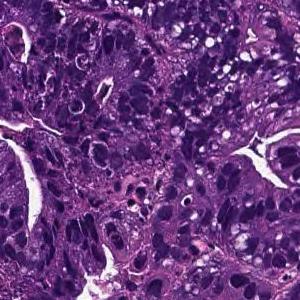
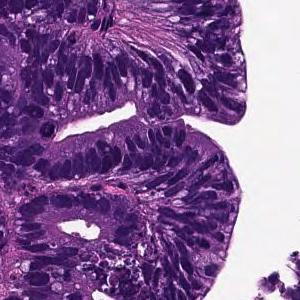
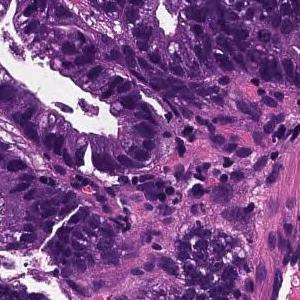
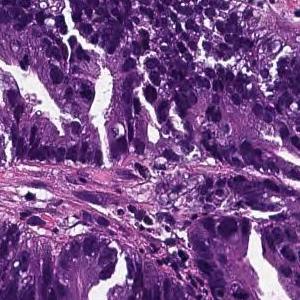
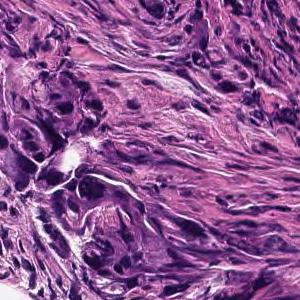
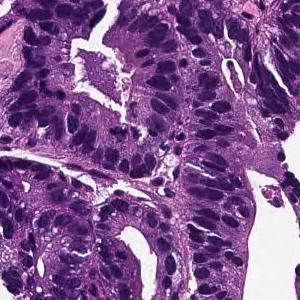
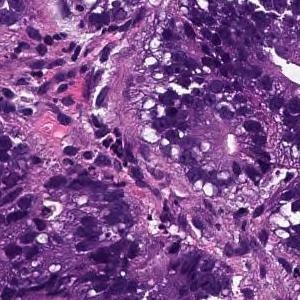
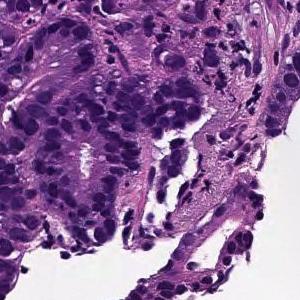
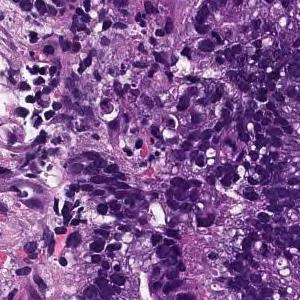
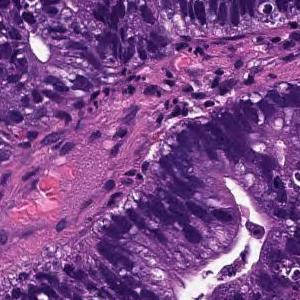
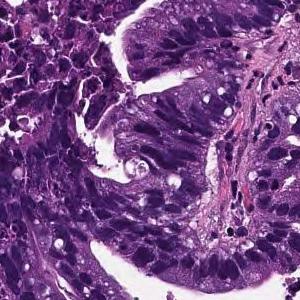
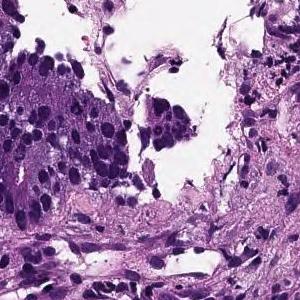
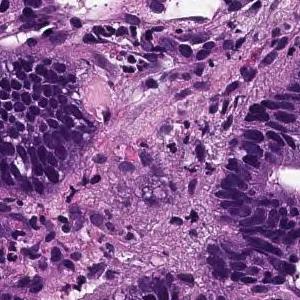
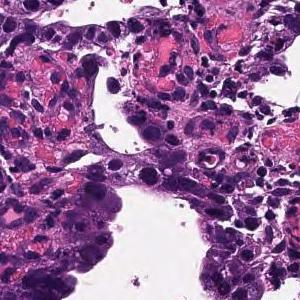
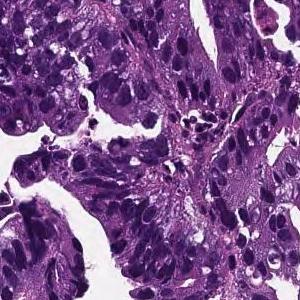
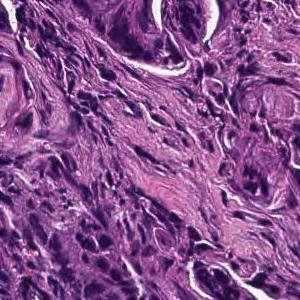
H&E stain · 16 tiles from the same stomach biopsy slide · 300×300 px each.
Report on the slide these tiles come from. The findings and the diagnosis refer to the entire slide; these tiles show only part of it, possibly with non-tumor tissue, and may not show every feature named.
Tumor cells are large, highly columnar, large club-shaped nuclei, and are associated with chromatin aggregation. Papillary adenocarcinoma.
